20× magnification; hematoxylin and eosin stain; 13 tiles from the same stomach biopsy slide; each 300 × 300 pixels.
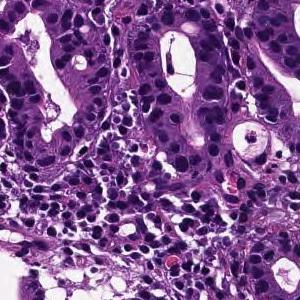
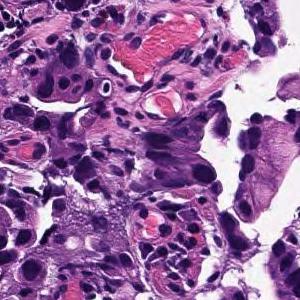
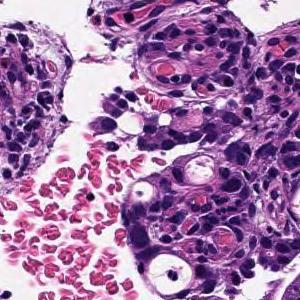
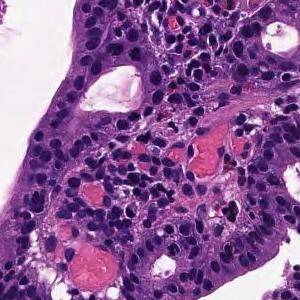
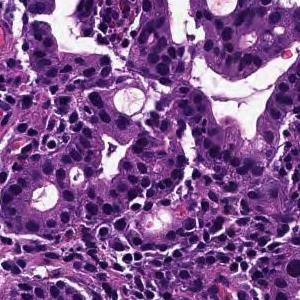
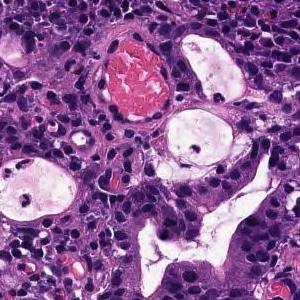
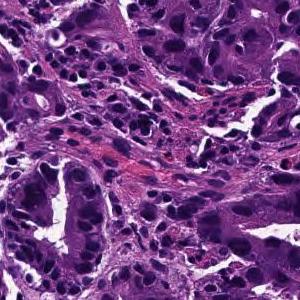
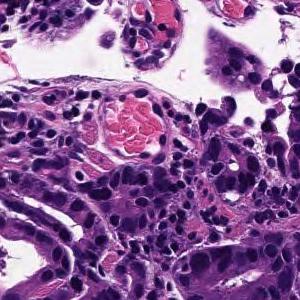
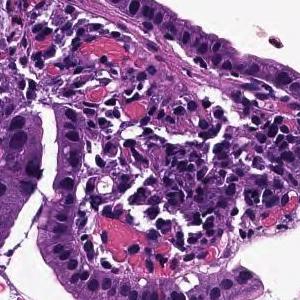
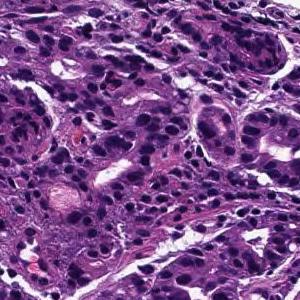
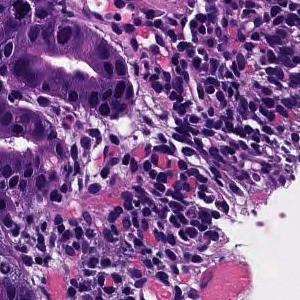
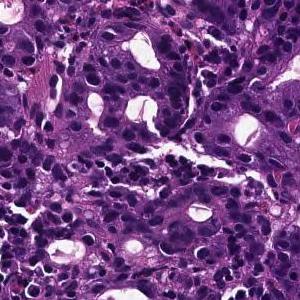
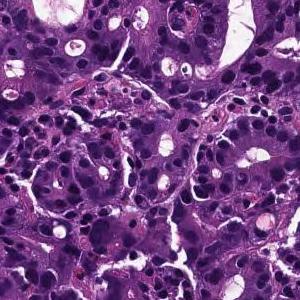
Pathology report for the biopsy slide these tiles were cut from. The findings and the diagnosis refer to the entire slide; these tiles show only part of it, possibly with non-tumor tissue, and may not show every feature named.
From the superficial epithelium to the muscularis mucosae, tumor tissue consisting of medium-sized and irregular glandular ducts infiltrating is observed. Well differentiated tubular adenocarcinoma
